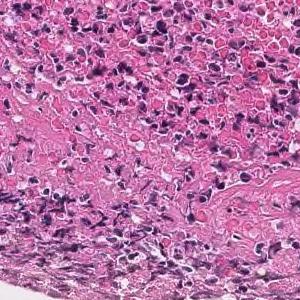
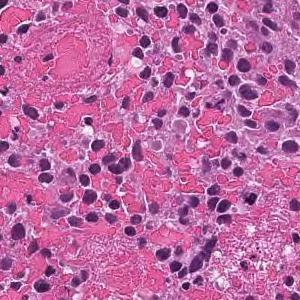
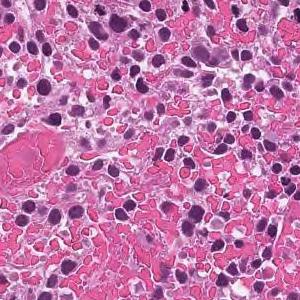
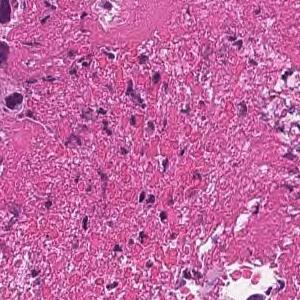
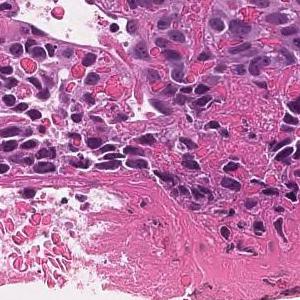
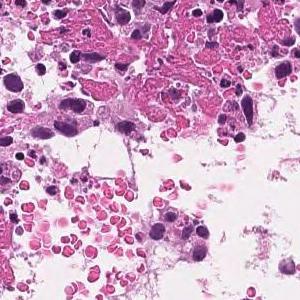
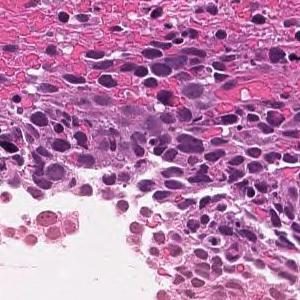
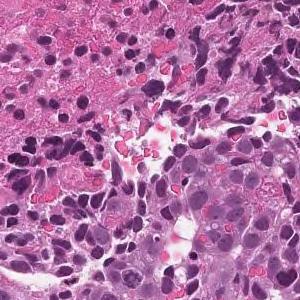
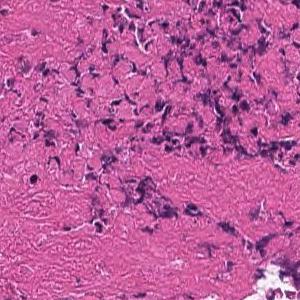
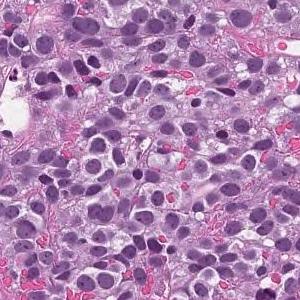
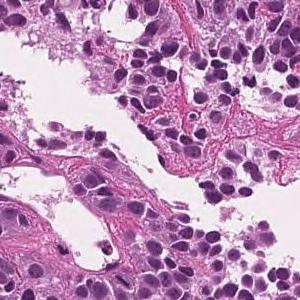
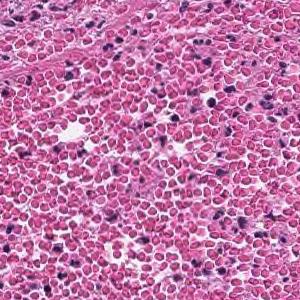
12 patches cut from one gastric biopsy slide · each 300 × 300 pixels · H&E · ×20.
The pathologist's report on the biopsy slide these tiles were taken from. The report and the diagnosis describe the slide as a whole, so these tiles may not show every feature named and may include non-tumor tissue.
The superficial epithelium shows a large sheet-like shape, and some tumor tissue infiltrates with small irregular ducts. Poorly differentiated adenocarcinoma, solid-type
Histological subtype: Poorly differentiated adenocarcinoma, solid type, a category of the Japanese Classification of Gastric Carcinoma; in the WHO 2019 classification it is tubular adenocarcinoma, poorly differentiated.
